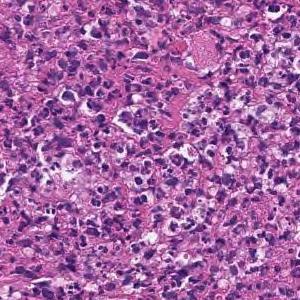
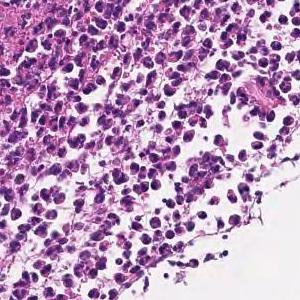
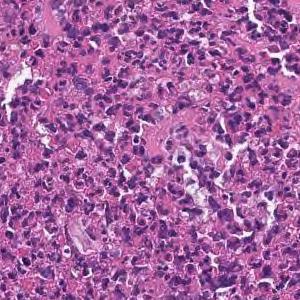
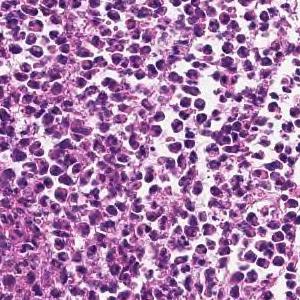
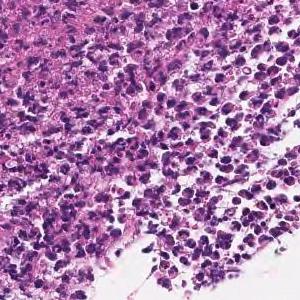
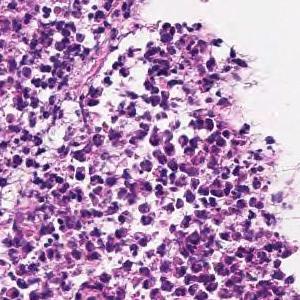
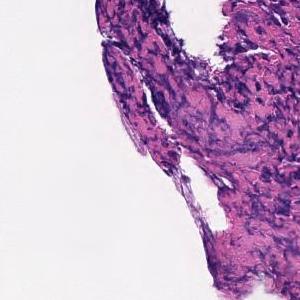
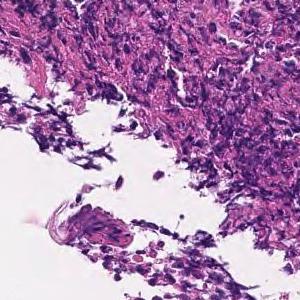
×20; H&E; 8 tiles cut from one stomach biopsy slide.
The pathologist's report on the biopsy slide these tiles were taken from. What the report and the diagnosis say applies to the whole slide; these tiles may miss some of the features named and may include tissue that is not tumor.
In the superficial epithelium, tumor tissue infiltrated by partial fusion of medium-sized to small, irregular glandular ducts is observed. moderately differentiated tubular adenocarcinoma
